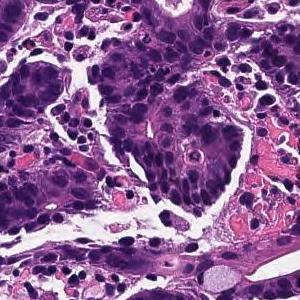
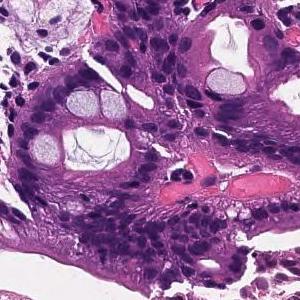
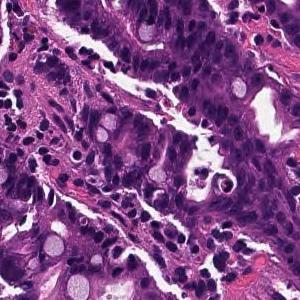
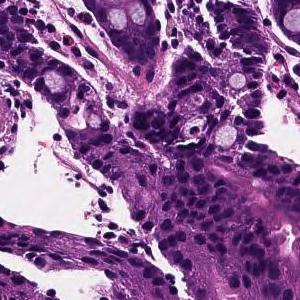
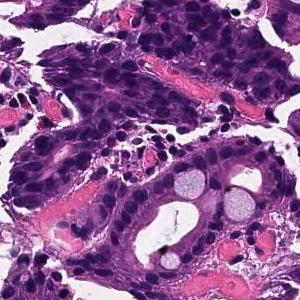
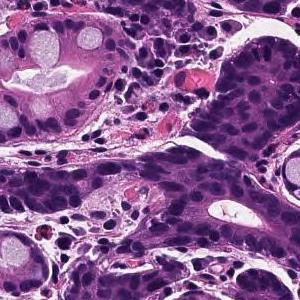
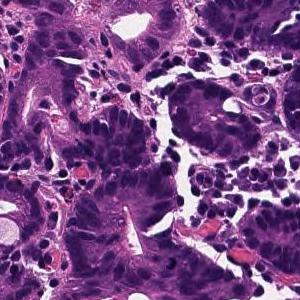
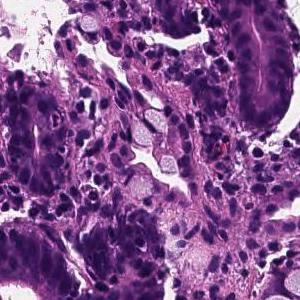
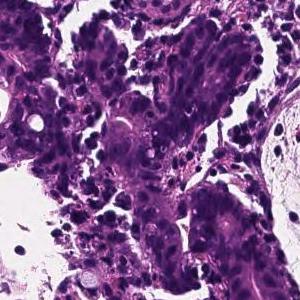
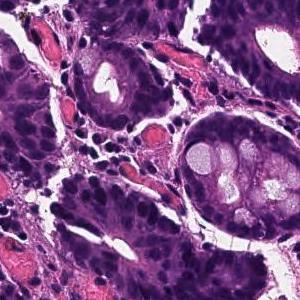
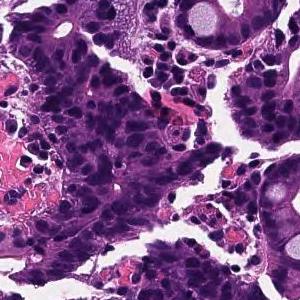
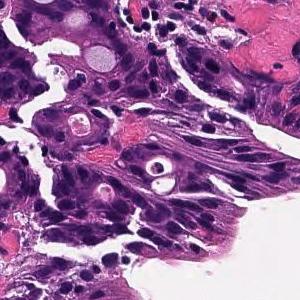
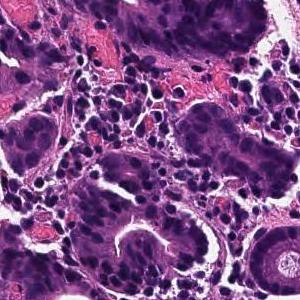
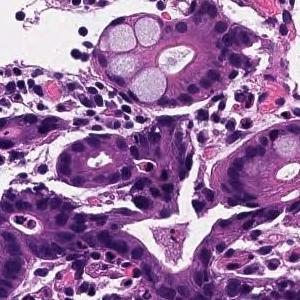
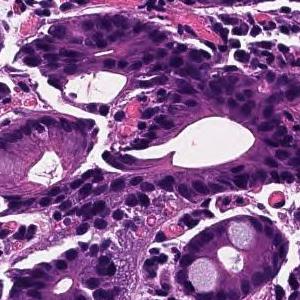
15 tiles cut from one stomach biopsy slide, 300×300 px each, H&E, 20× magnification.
Report on the slide these tiles come from. The findings and the diagnosis refer to the entire slide; these tiles show only part of it, possibly with non-tumor tissue, and may not show every feature named.
In the superficial epithelium, tumor tissue that invades by forming medium-sized to small, irregular ducts is observed. moderately differentiated tubular adenocarcinoma.
